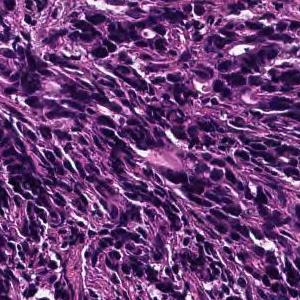
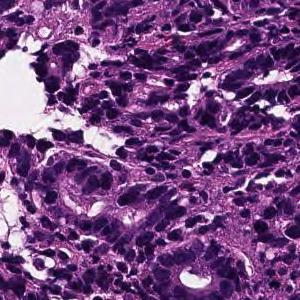
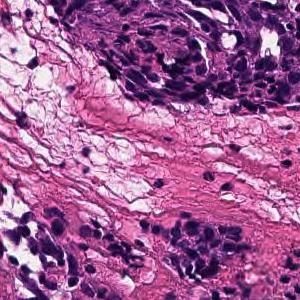
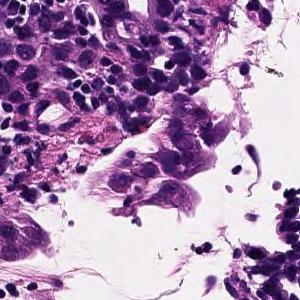
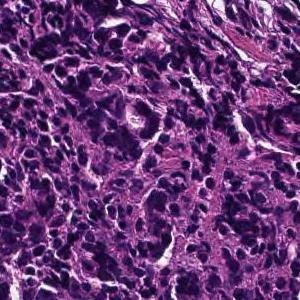
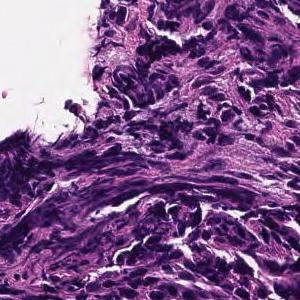
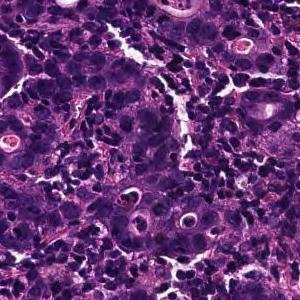
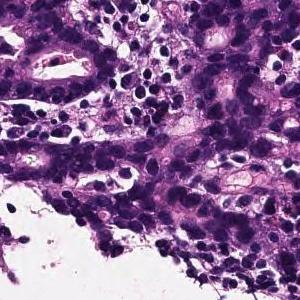
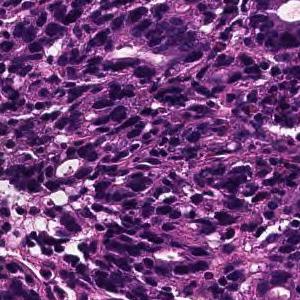
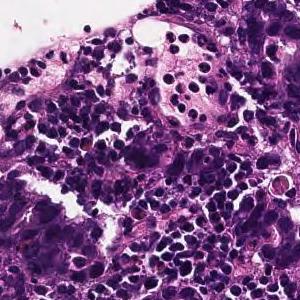
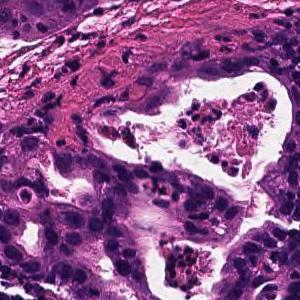
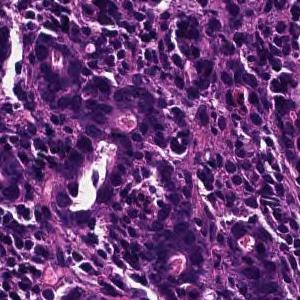
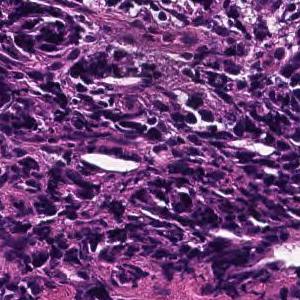
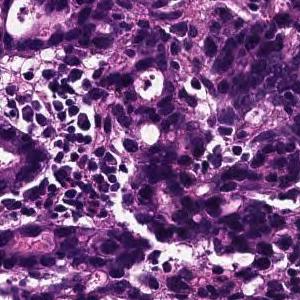
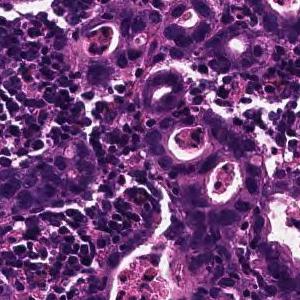
20× magnification · H&E stain · 15 patches cut from one gastric biopsy slide · 300 × 300 pixels each.
Pathology report for the biopsy slide these tiles were cut from. What the report and the diagnosis say applies to the whole slide; these tiles may miss some of the features named and may include tissue that is not tumor.
On the superficial epithelium, tumor tissue is found in which medium-sized irregular gland ducts fuse with each other and infiltrate. moderately differentiated tubular adenocarcinoma or Poorly differentiated adenocarcinoma, non-solid type
Classified as moderately to poorly differentiated adenocarcinoma.
"Non-solid type" is a category of the Japanese Classification of Gastric Carcinoma.
